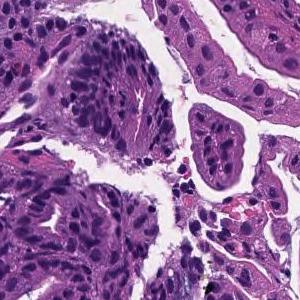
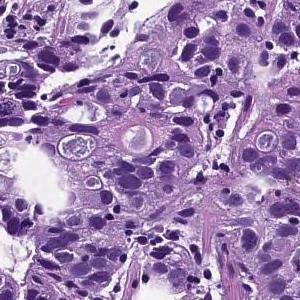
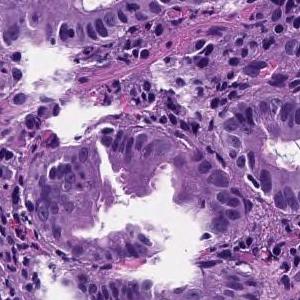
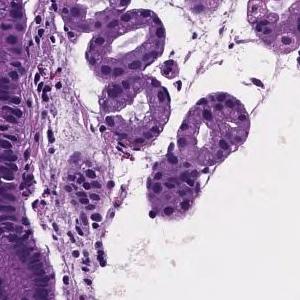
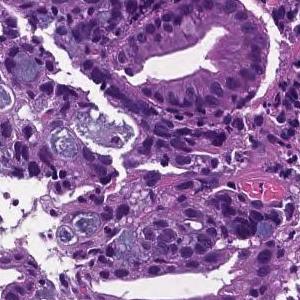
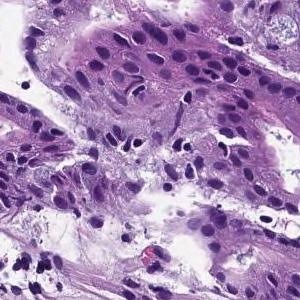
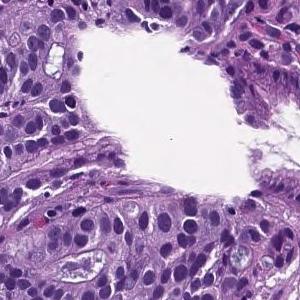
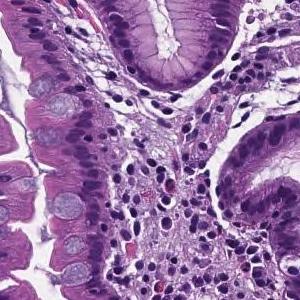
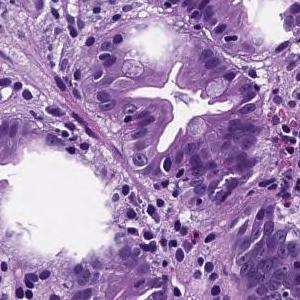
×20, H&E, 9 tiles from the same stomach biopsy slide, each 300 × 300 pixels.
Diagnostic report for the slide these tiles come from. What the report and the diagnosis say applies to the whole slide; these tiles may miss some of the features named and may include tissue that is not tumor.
In the superficial epithelium, tumor tissue that invades by forming medium-sized to small, irregular ducts is observed. moderately differentiated tubular adenocarcinoma.
